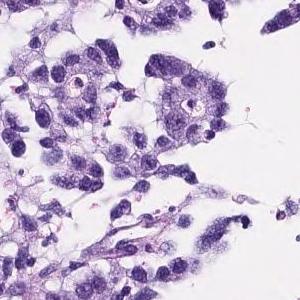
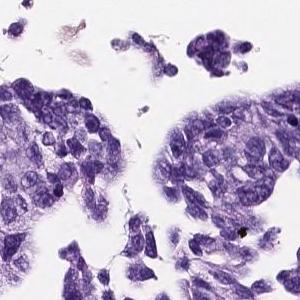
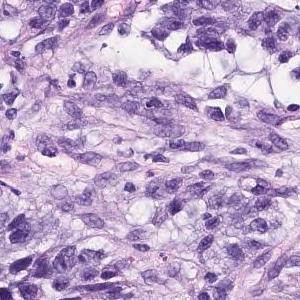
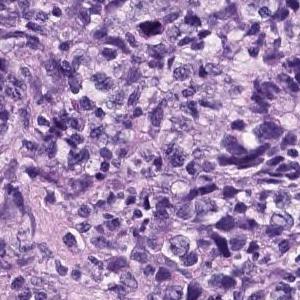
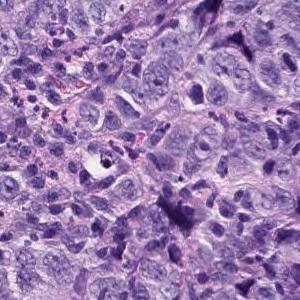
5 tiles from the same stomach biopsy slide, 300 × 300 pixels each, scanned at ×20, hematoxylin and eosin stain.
Pathology report for the slide these tiles were cut from. What the report and the diagnosis say applies to the whole slide; these tiles may miss some of the features named and may include tissue that is not tumor.
The superficial epithelium shows a large sheet-like shape, and some tumor tissue infiltrates with small irregular ducts. Poorly differentiated adenocarcinoma, solid-type
Histologic type: Poorly differentiated adenocarcinoma, solid type. This name comes from the Japanese Classification of Gastric Carcinoma; the WHO 2019 classification calls it tubular adenocarcinoma, poorly differentiated.
